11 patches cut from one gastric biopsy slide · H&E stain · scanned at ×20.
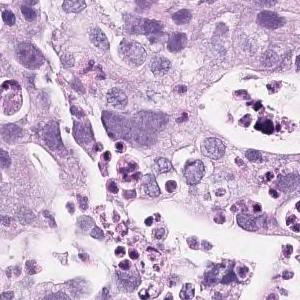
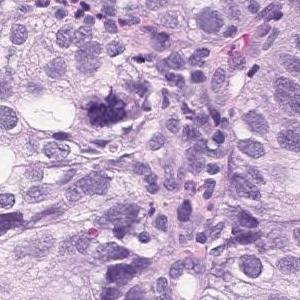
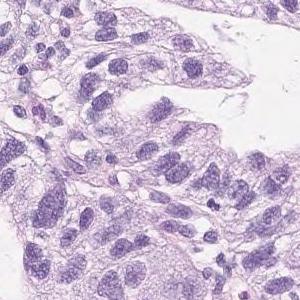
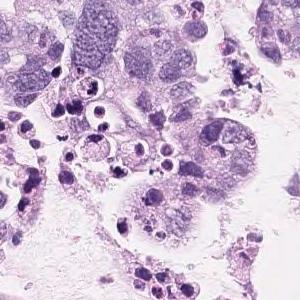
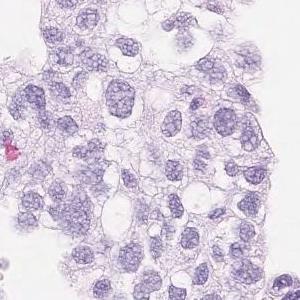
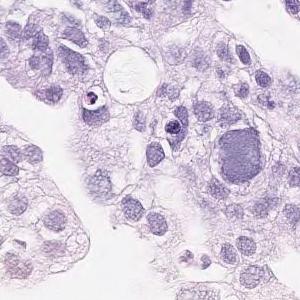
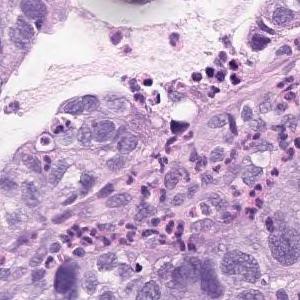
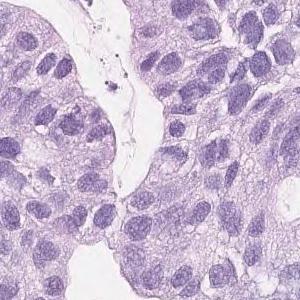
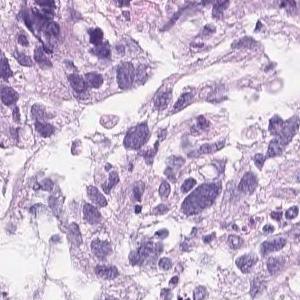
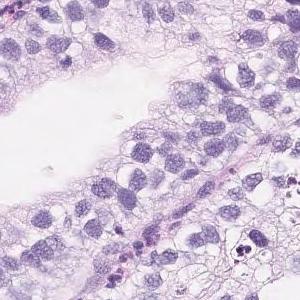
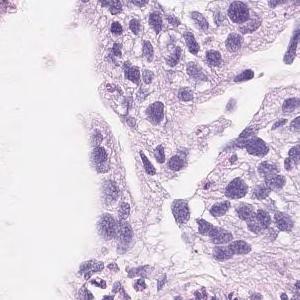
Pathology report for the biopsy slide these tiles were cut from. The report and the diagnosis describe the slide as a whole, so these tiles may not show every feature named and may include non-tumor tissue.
On the superficial epithelium, tumor tissue consisting of large, irregular glandular ducts partially fused and infiltrated is observed. Well to moderately differentiated tubular adenocarcinoma (well differentiated tubular adenocarcinoma, moderately differentiated tubular adenocarcinoma)
Histological subtype: Well to moderately differentiated tubular adenocarcinoma.
